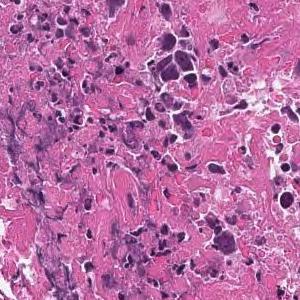
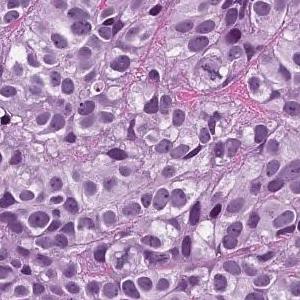
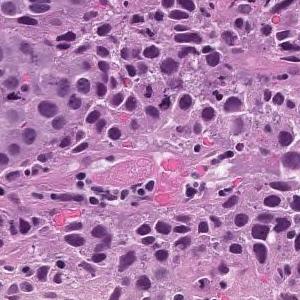
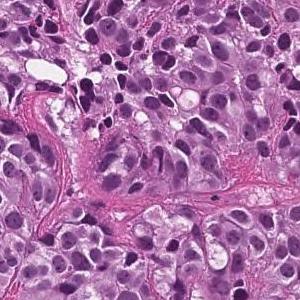
4 patches cut from one gastric biopsy slide · 300 × 300 pixels each.
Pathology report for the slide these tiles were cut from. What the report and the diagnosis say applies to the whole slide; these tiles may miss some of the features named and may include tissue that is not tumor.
The superficial epithelium shows a large sheet-like shape, and some tumor tissue infiltrates with small irregular ducts. Poorly differentiated adenocarcinoma, solid-type
Histologic type: Poorly differentiated adenocarcinoma, solid type (Japanese Classification of Gastric Carcinoma). The WHO 2019 equivalent is tubular adenocarcinoma, poorly differentiated.
